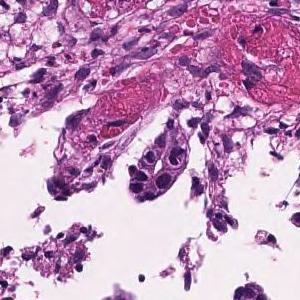
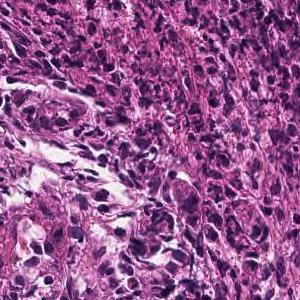
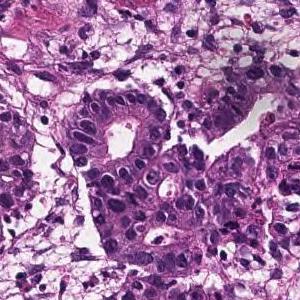
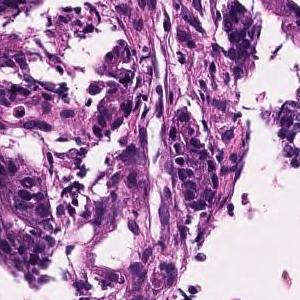
4 image tiles from a single gastric biopsy slide, scanned at ×20, hematoxylin and eosin stain.
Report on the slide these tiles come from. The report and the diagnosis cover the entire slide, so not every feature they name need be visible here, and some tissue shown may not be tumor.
In the superficial epithelium, medium to small, irregular gland ducts are formed, and in some cases, the gland ducts are fused to show solid alveolar lesions and infiltrating tumor tissue is observed. Moderately to poorly differentiated adenocarcinoma.
